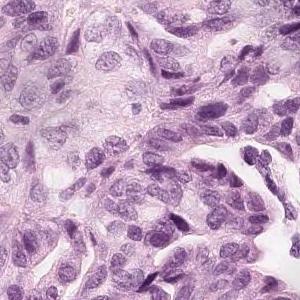
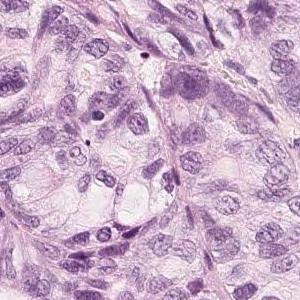
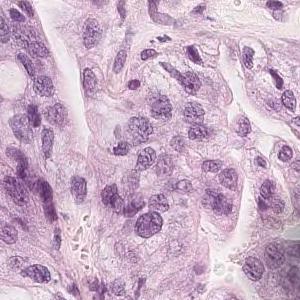
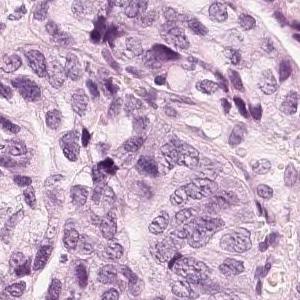
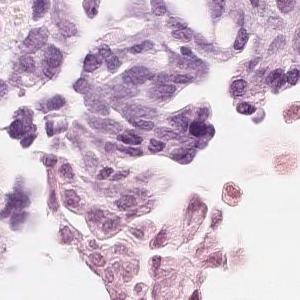
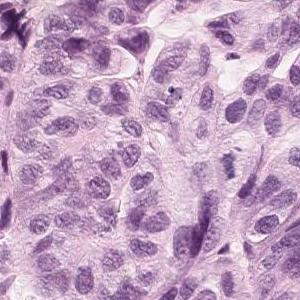
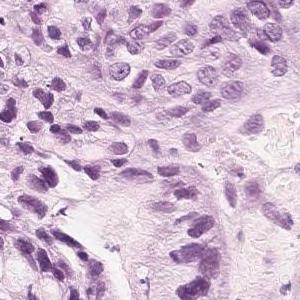
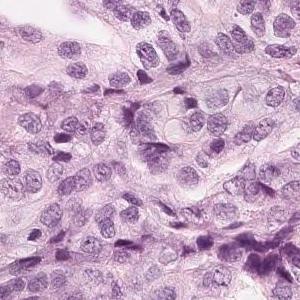
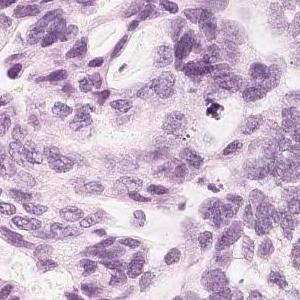
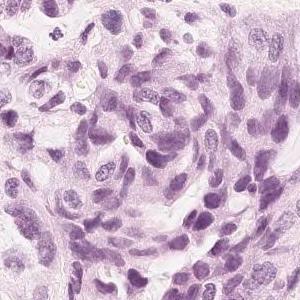
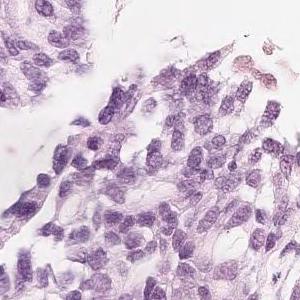
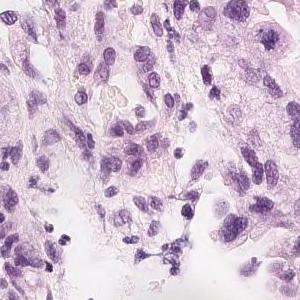
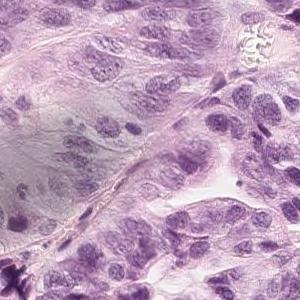
13 tiles cut from one stomach biopsy slide · H&E · scanned at ×20.
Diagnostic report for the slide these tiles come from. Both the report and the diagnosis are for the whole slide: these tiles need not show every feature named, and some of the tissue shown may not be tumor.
Tumor tissue in which medium-sized atypical epithelial cells with a large N/C ratio grow densely while becoming alveolar to cord-like with duct formation is observed. moderately differentiated tubular adenocarcinoma
